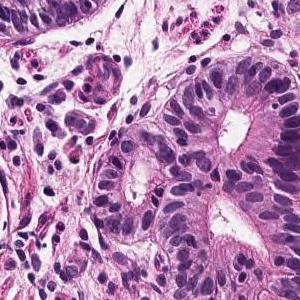
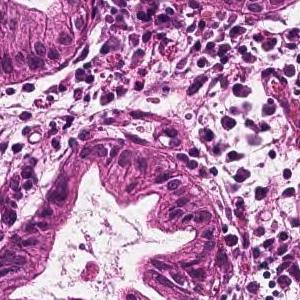
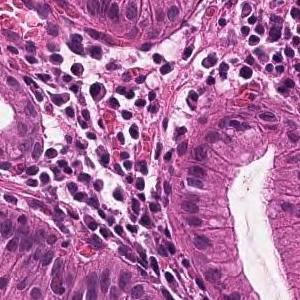
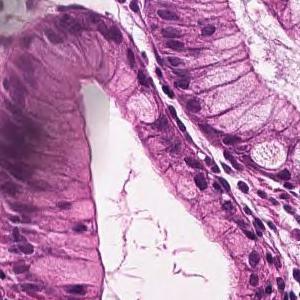
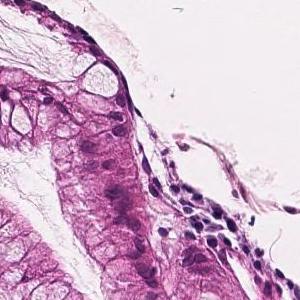
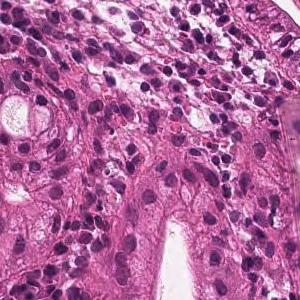
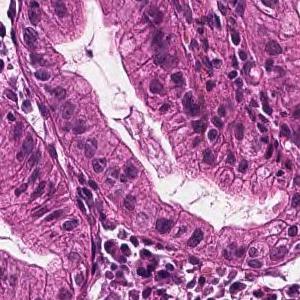
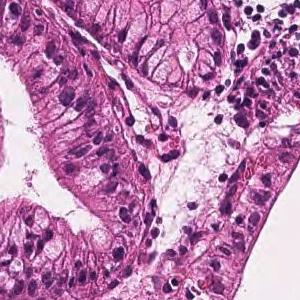
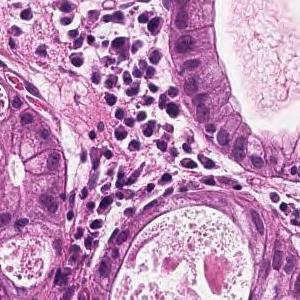
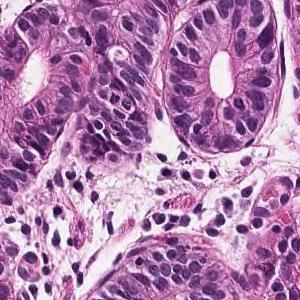
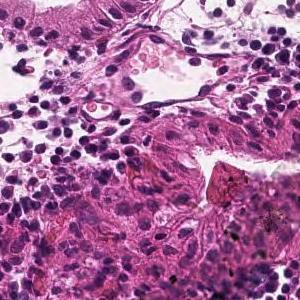
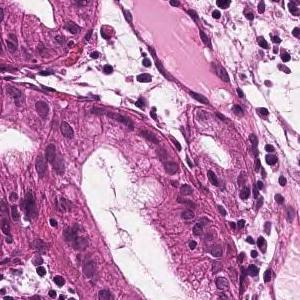
12 tiles from the same stomach biopsy slide · H&E stain.
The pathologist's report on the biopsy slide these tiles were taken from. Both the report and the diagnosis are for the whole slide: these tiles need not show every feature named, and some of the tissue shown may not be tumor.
In the superficial epithelium, tumor tissue that invades by forming medium-sized to small, irregular ducts is observed. Well differentiated tubular adenocarcinoma.
